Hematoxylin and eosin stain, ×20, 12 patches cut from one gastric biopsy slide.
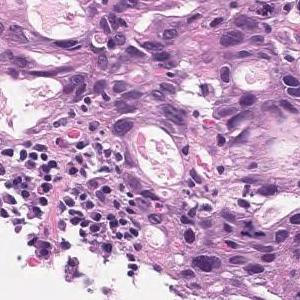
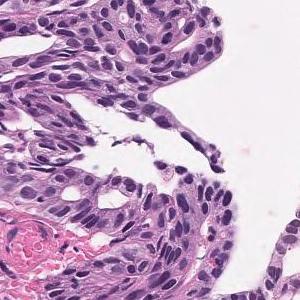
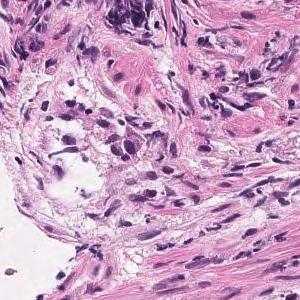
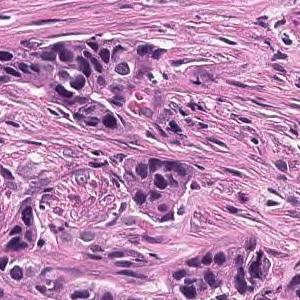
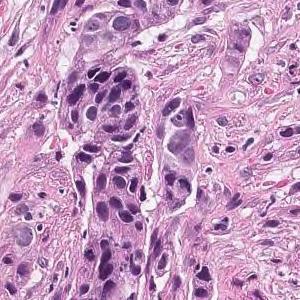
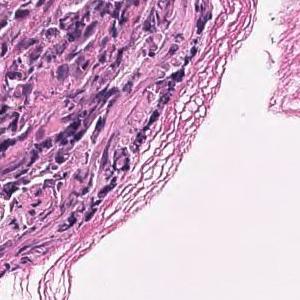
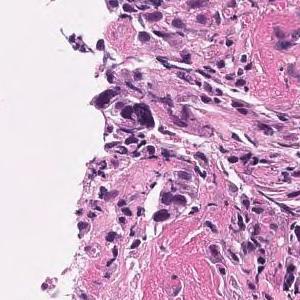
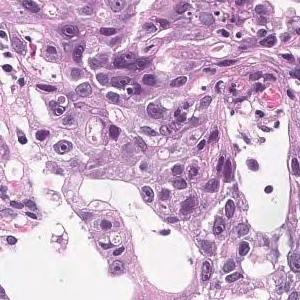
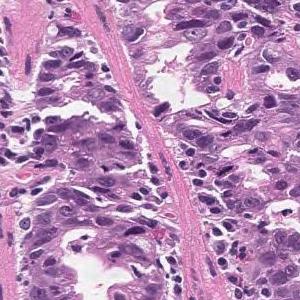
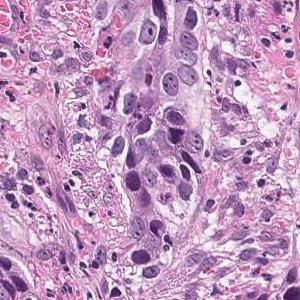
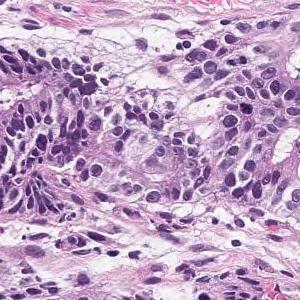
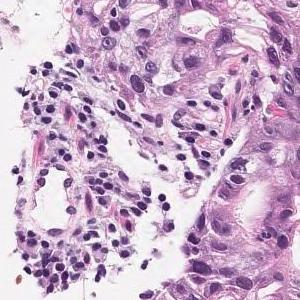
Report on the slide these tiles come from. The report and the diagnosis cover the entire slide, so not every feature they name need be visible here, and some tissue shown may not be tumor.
Tumor cells are large, highly columnar, large club-shaped nuclei, and are associated with chromatin aggregation. Papillary adenocarcinoma.
